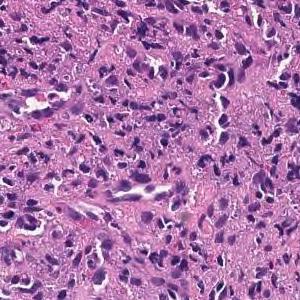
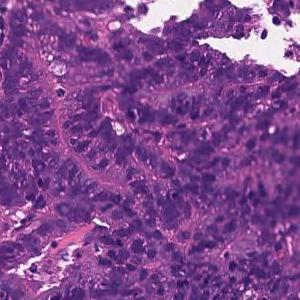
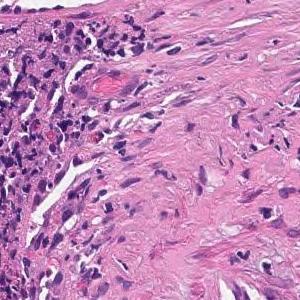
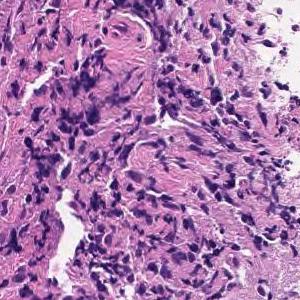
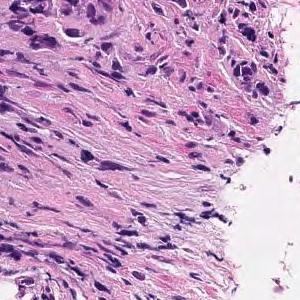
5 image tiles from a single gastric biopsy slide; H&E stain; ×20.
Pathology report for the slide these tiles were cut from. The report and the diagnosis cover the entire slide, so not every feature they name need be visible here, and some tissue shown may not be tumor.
Tumor tissue consisting of medium-sized, cord-like or irregular glandular infiltration is observed in the superficial epithelium. Poorly differentiated adenocarcinoma, non-solid type or moderately differentiated tubular adenocarcinoma
Classified as moderately to poorly differentiated adenocarcinoma.
"Non-solid type" is a category of the Japanese Classification of Gastric Carcinoma.
